Scanned at ×20 · 7 tiles cut from one stomach biopsy slide · 300×300 px each.
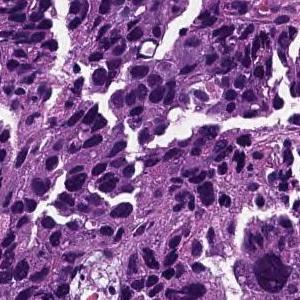
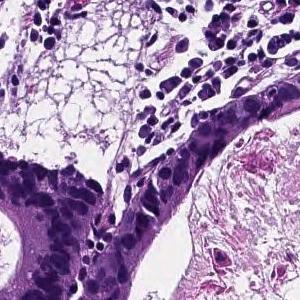
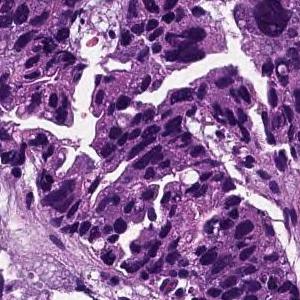
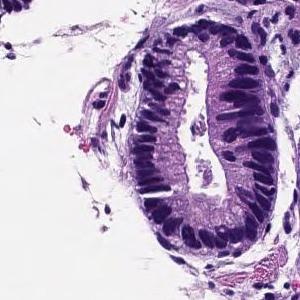
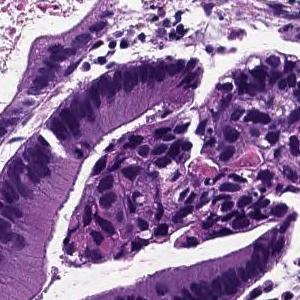
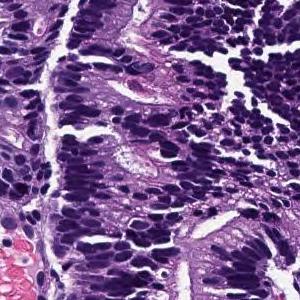
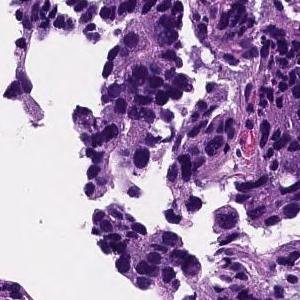
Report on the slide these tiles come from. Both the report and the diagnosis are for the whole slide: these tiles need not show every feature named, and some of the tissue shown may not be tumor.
From the superficial epithelium to the muscularis mucosae, tumor tissue consisting of medium-sized and irregular glandular ducts infiltrating is observed. Well differentiated tubular adenocarcinoma
